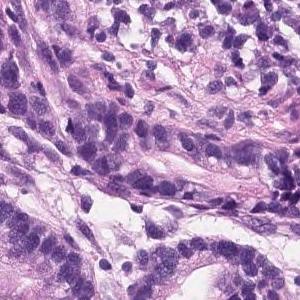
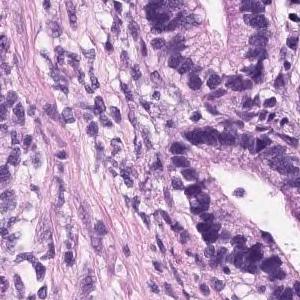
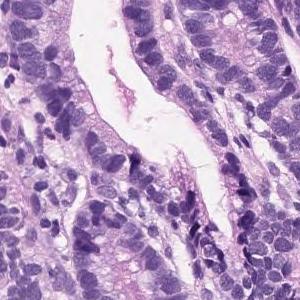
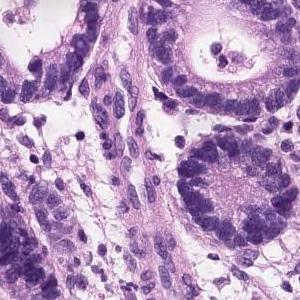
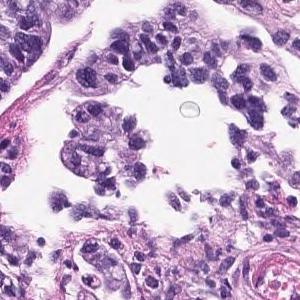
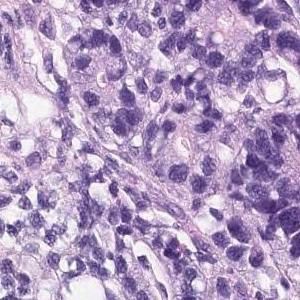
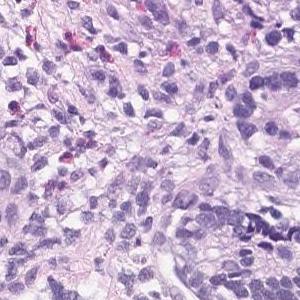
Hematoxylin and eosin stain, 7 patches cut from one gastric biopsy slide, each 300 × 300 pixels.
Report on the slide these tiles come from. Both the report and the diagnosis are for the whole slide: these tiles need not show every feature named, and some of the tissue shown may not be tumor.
Hyperplasia of atypical epithelial cells with swelling of the nucleus is observed. Moderately diffentiated tubular adenocarcinoma
Histologic type: Moderately differentiated tubular adenocarcinoma.
